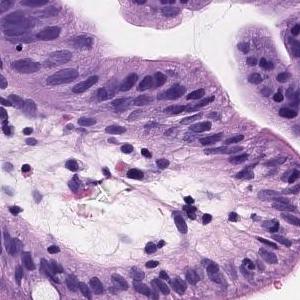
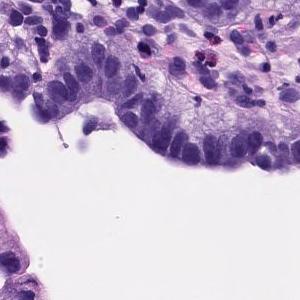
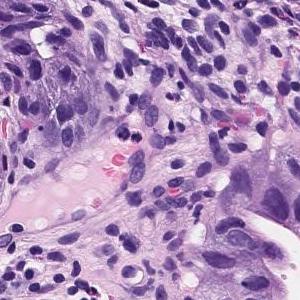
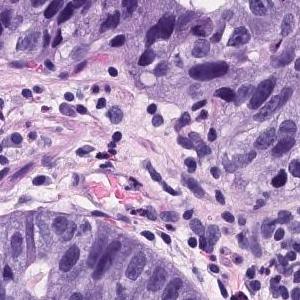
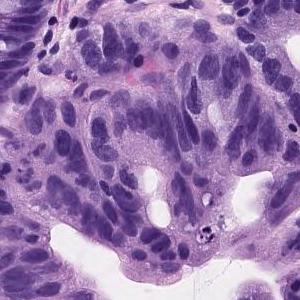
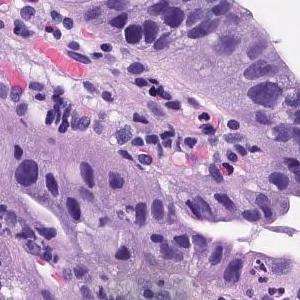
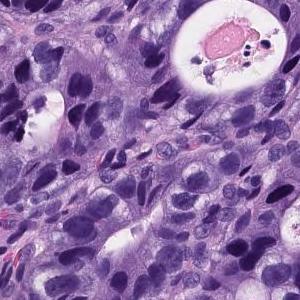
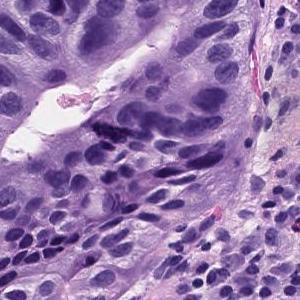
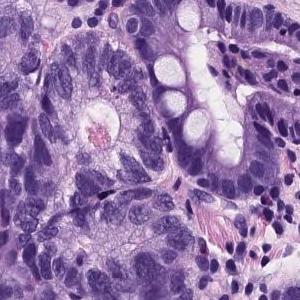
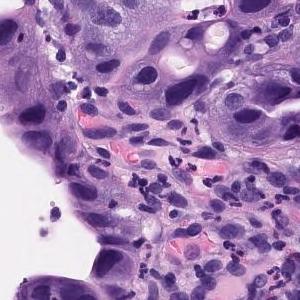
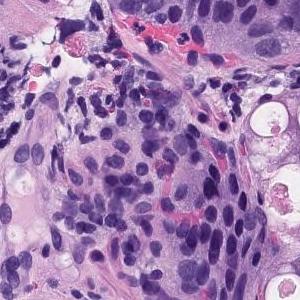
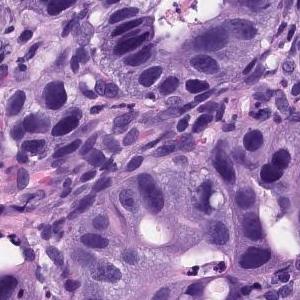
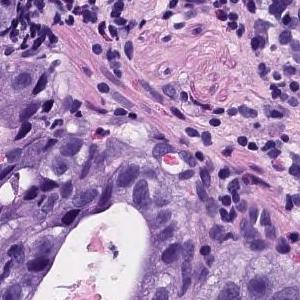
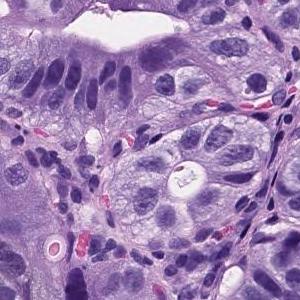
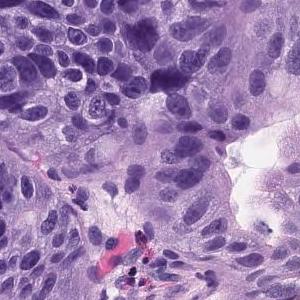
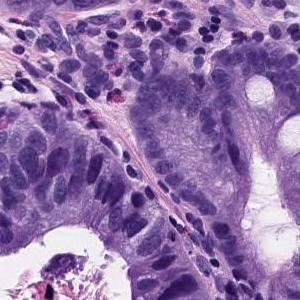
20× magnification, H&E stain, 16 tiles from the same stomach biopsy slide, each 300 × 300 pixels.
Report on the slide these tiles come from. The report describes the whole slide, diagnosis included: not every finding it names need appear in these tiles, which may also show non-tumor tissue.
Proliferation of atypical tubules is observed in surface epithelium. Tubules form back-to-back structure. Tubules exhibit glandular budding, nuclear enlargement, cellular atypia. Well differentiated tubular adenocarcinoma.
